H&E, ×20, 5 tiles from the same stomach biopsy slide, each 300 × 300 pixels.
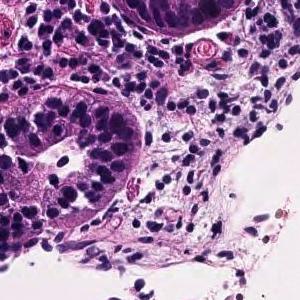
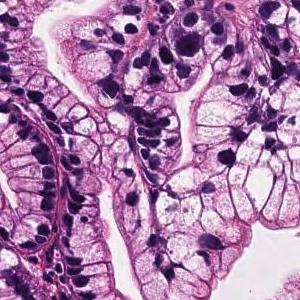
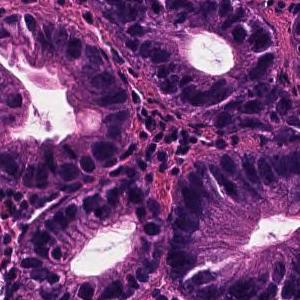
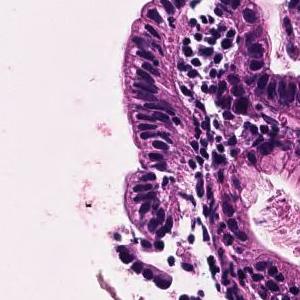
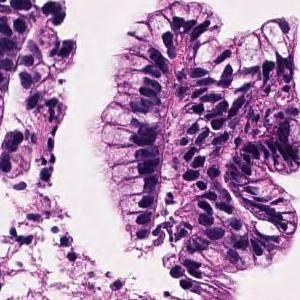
Diagnostic report for the slide these tiles come from. The report describes the whole slide, diagnosis included: not every finding it names need appear in these tiles, which may also show non-tumor tissue.
Tumor cells are large, highly columnar, large club-shaped nuclei, and are associated with chromatin aggregation. Papillary adenocarcinoma.
